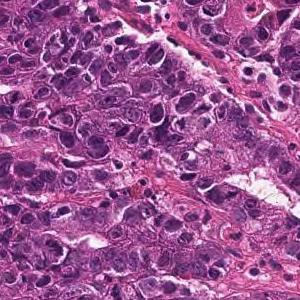
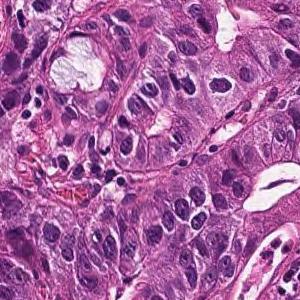
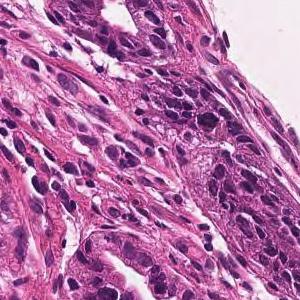
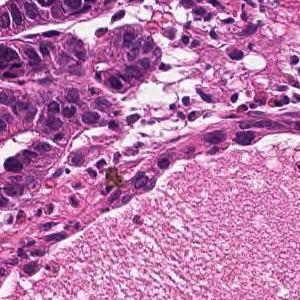
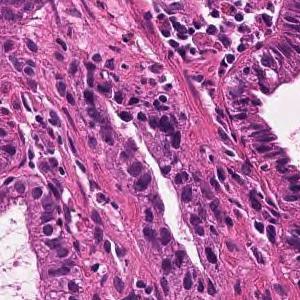
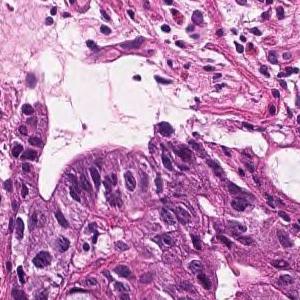
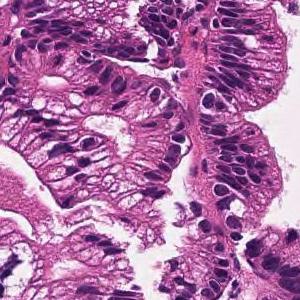
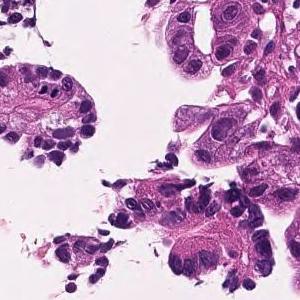
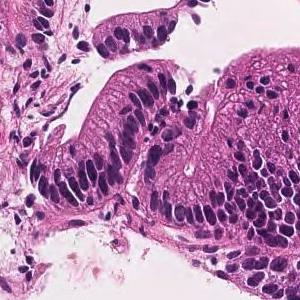
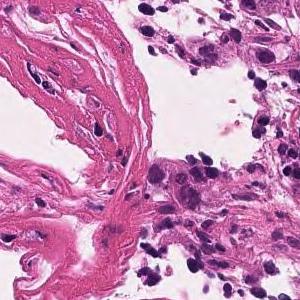
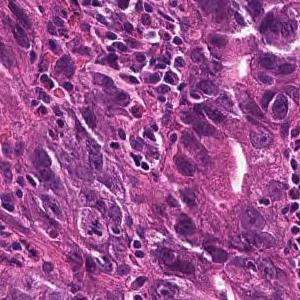
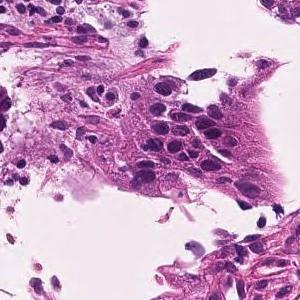
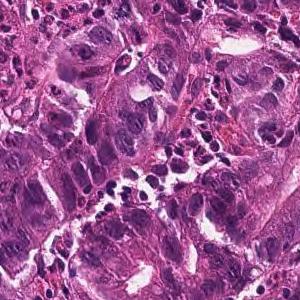
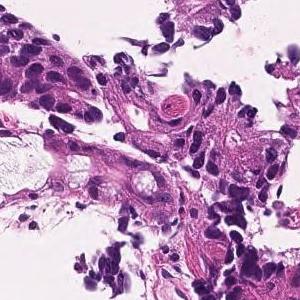
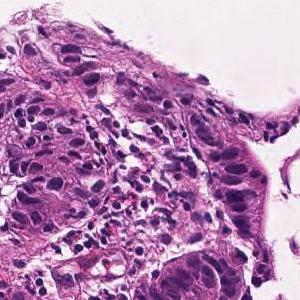
Scanned at ×20 · H&E stain · 15 image tiles from a single gastric biopsy slide · each 300 × 300 pixels.
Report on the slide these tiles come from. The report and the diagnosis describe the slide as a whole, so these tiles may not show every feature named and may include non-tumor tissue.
In the superficial epithelium, tumor tissue that invades by forming medium-sized to small, irregular ducts is observed. moderately differentiated tubular adenocarcinoma.
